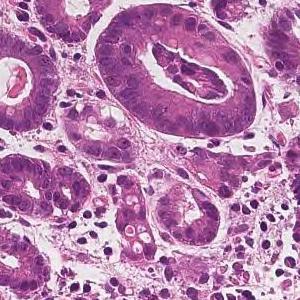
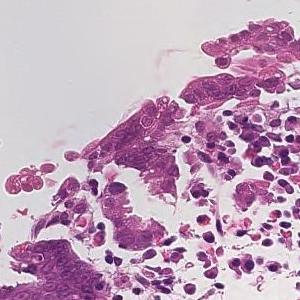
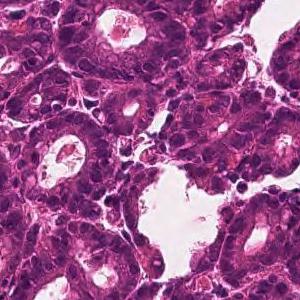
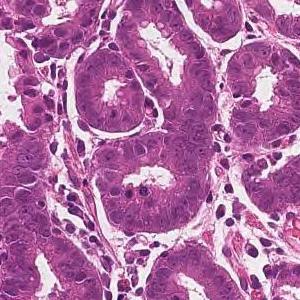
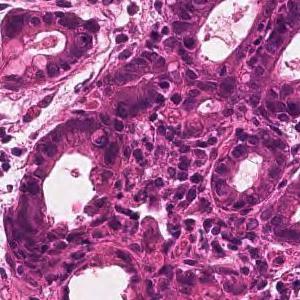
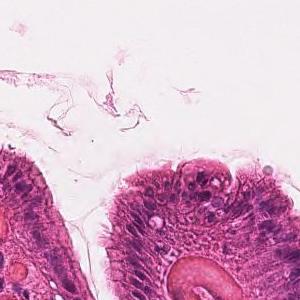
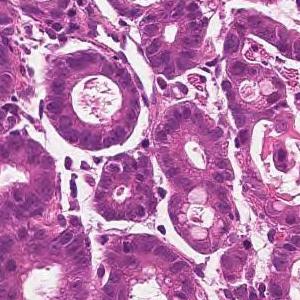
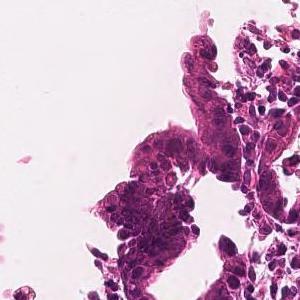
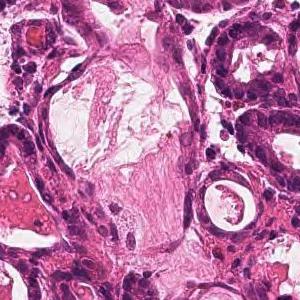
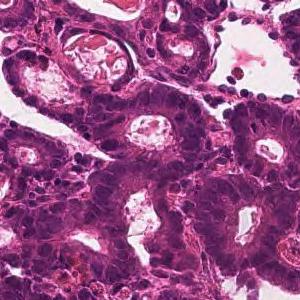
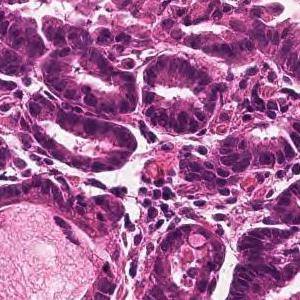
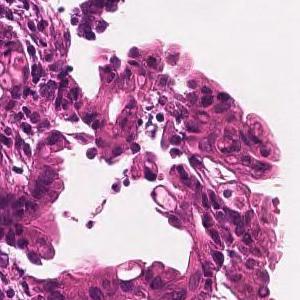
12 tiles from the same stomach biopsy slide, 20× magnification.
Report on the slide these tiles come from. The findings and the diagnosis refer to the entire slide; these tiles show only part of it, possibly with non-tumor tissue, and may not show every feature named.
From the superficial epithelium to the muscularis mucosae, tumor tissue consisting of medium-sized and irregular glandular ducts infiltrating is observed. Well differentiated tubular adenocarcinoma
